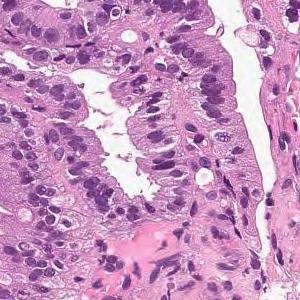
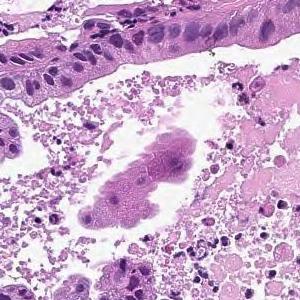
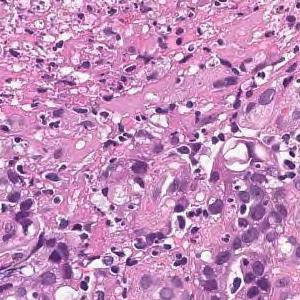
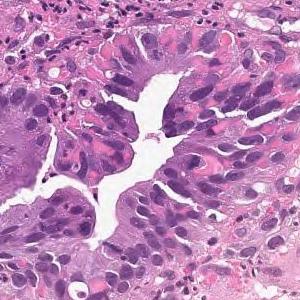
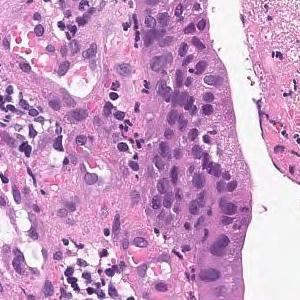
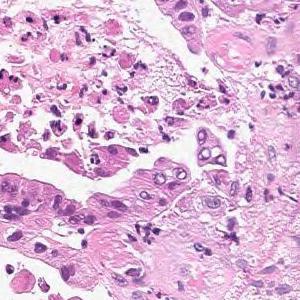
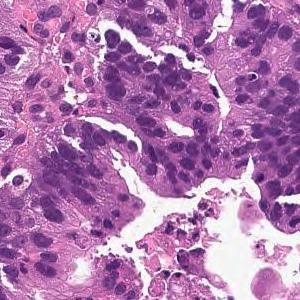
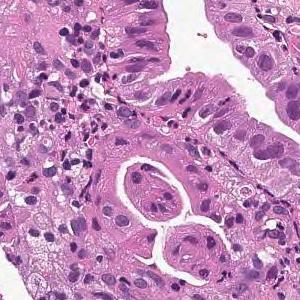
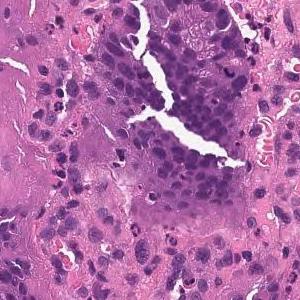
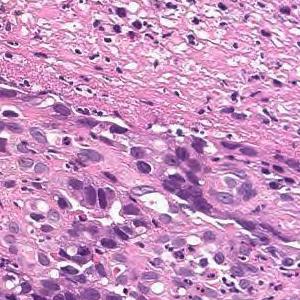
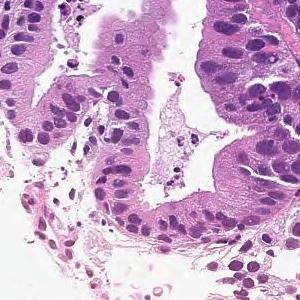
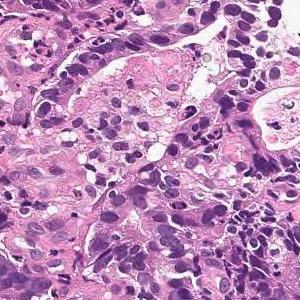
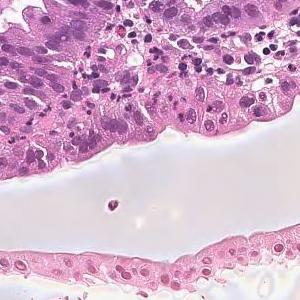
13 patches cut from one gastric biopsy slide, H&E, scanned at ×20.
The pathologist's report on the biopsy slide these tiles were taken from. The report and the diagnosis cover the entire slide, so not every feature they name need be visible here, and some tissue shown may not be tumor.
From the superficial epithelium to the muscularis mucosae, tumor tissue consisting of medium-sized and irregular glandular ducts infiltrating is observed. Well differentiated tubular adenocarcinoma
